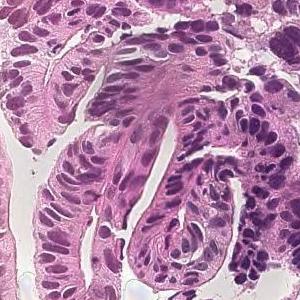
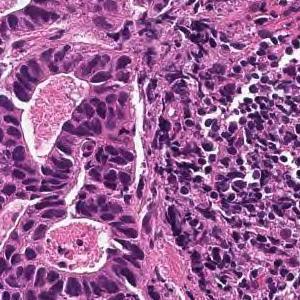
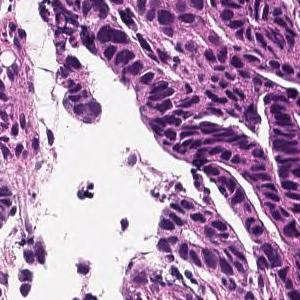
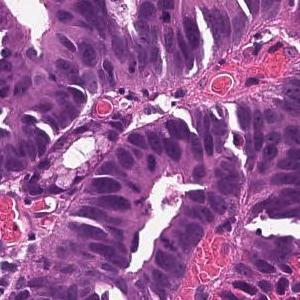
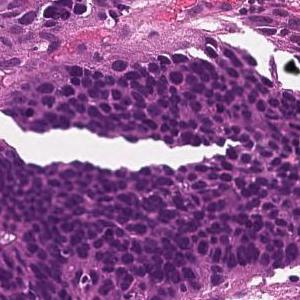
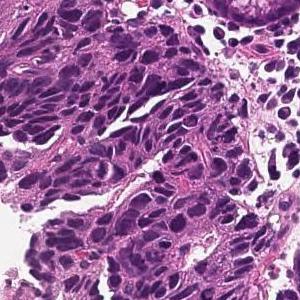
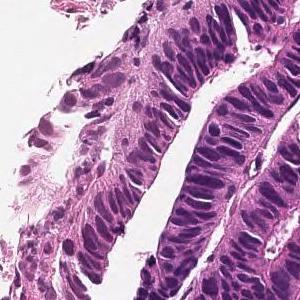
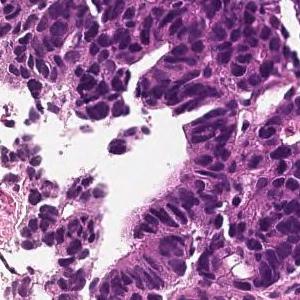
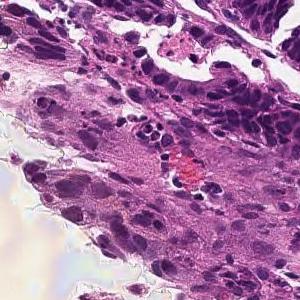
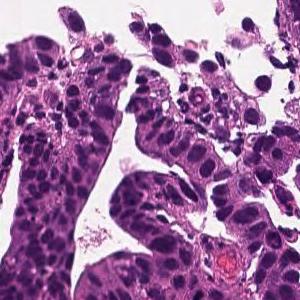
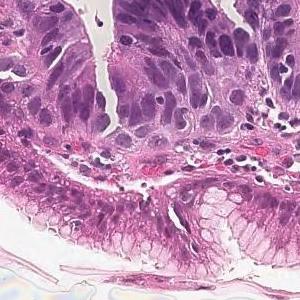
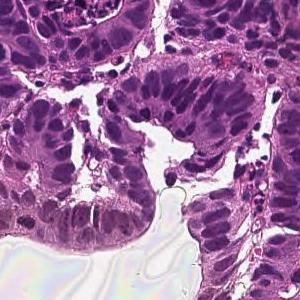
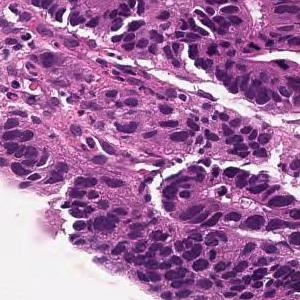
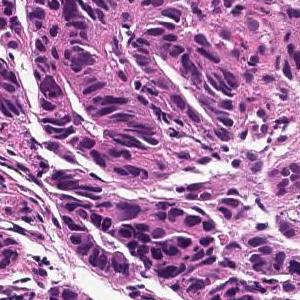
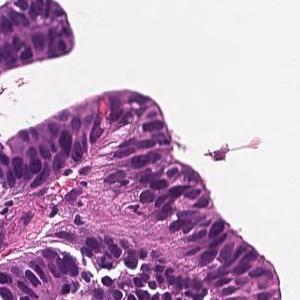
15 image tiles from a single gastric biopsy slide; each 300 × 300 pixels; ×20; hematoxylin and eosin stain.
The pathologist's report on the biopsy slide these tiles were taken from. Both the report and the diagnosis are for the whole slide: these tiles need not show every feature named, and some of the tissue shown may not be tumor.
From the superficial epithelium to the muscularis mucosae, tumor tissue consisting of medium-sized and irregular glandular ducts infiltrating is observed. Well differentiated tubular adenocarcinoma
